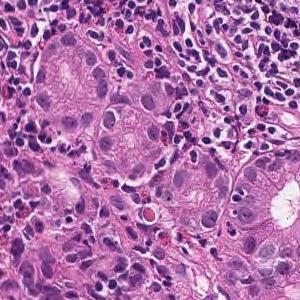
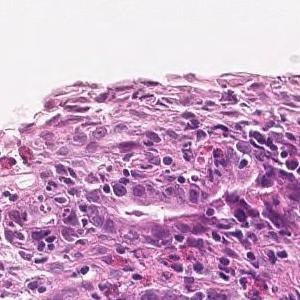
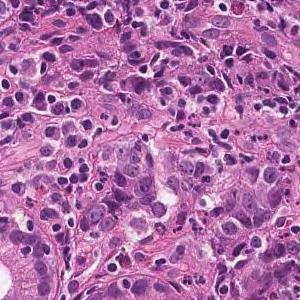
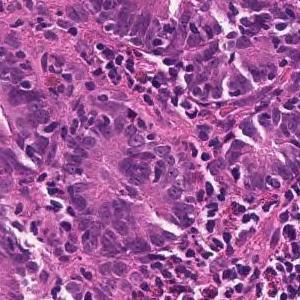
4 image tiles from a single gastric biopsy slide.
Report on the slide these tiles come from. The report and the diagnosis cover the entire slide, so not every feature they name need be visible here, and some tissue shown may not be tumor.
Tumor tissue consisting of medium-sized, cord-like or irregular glandular infiltration is observed in the superficial epithelium. Poorly differentiated adenocarcinoma, non-solid type or moderately differentiated tubular adenocarcinoma
Labeled in the dataset as poorly differentiated adenocarcinoma, non-solid type.
"Non-solid type" is a category of the Japanese Classification of Gastric Carcinoma.
